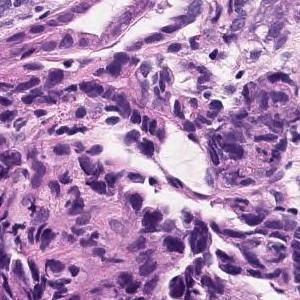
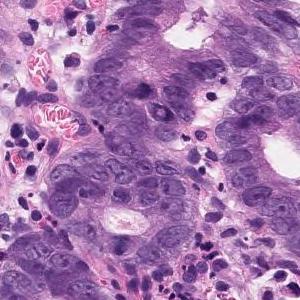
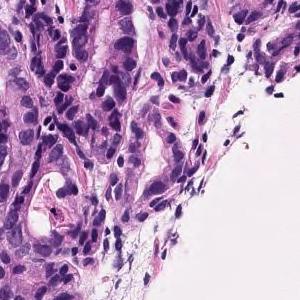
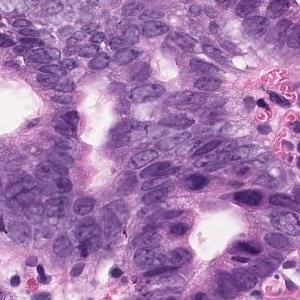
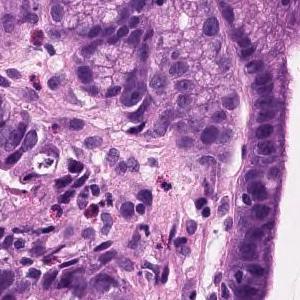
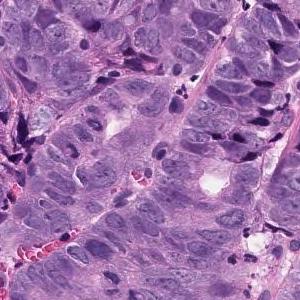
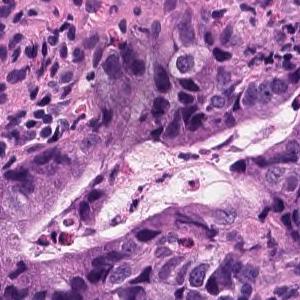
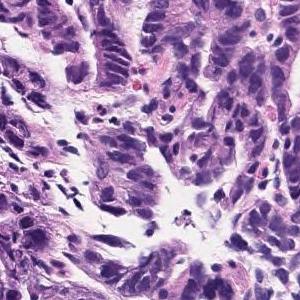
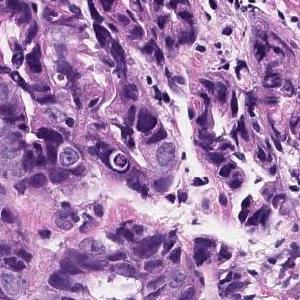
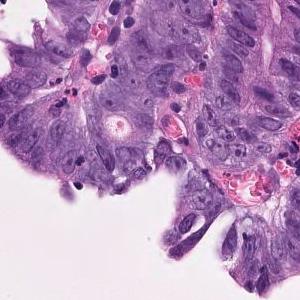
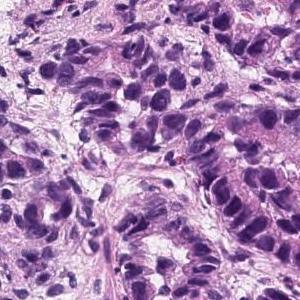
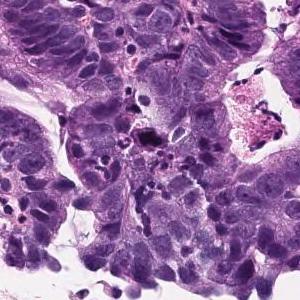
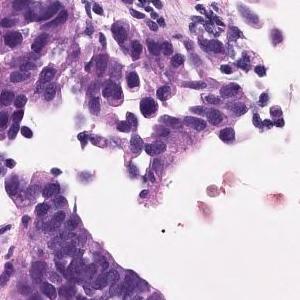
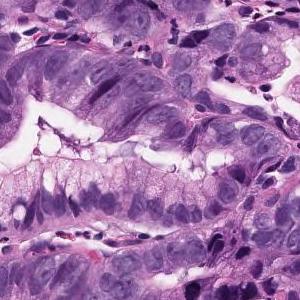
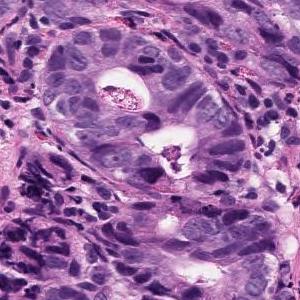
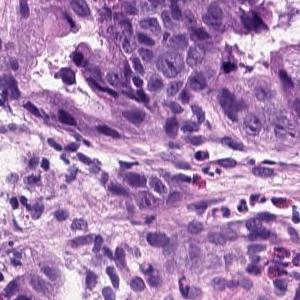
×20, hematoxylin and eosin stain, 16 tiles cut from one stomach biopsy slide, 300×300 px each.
Pathology report for the slide these tiles were cut from. The report and the diagnosis cover the entire slide, so not every feature they name need be visible here, and some tissue shown may not be tumor.
The swollen atypical epithelium of the nucleus forms an irregular ductal structure and proliferates. moderately differentiated tubular adenocarcinoma
